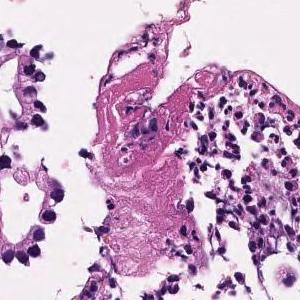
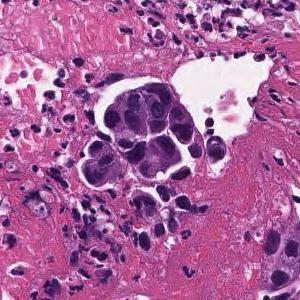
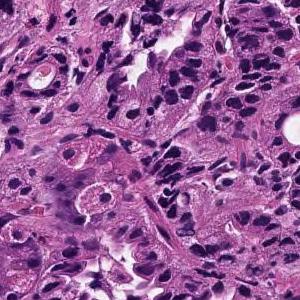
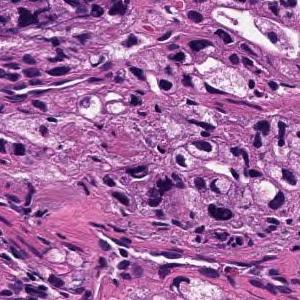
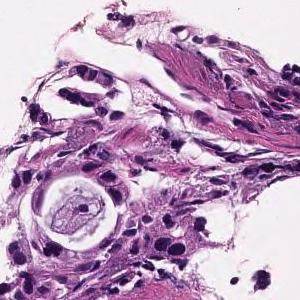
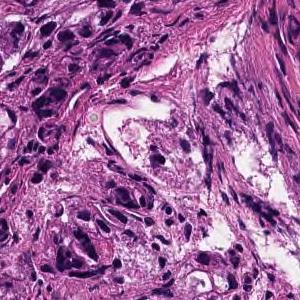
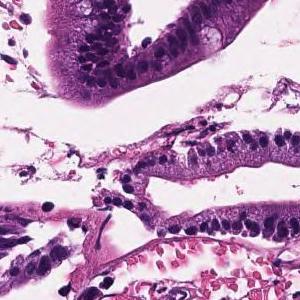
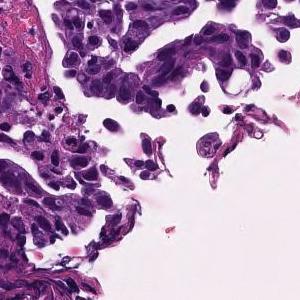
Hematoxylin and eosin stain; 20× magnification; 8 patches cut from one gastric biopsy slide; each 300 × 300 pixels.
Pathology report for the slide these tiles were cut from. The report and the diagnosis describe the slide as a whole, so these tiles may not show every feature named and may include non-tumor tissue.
In the superficial epithelium, tumor tissue that invades by forming medium-sized to small, irregular ducts is observed. moderately differentiated tubular adenocarcinoma.
